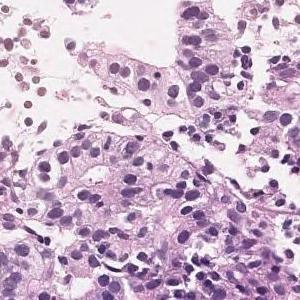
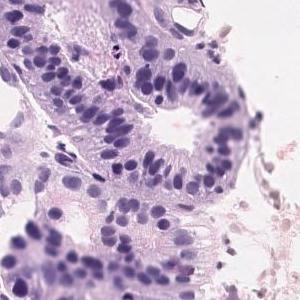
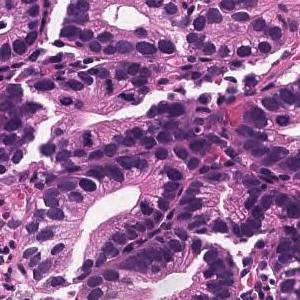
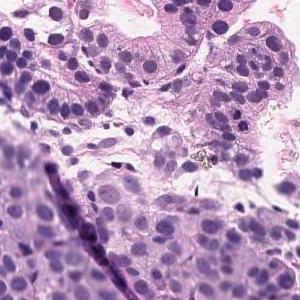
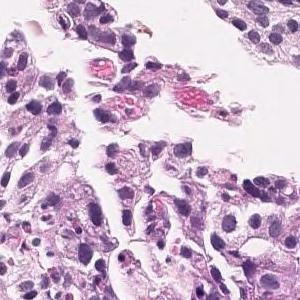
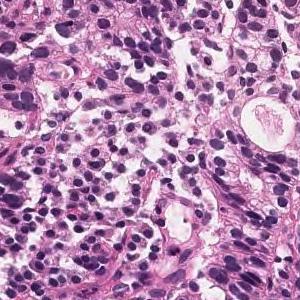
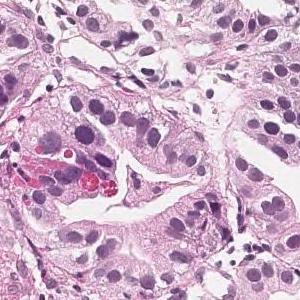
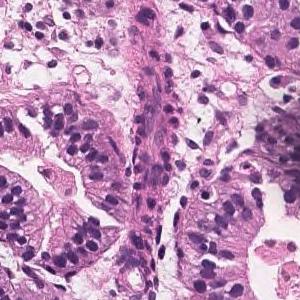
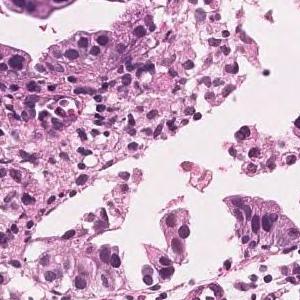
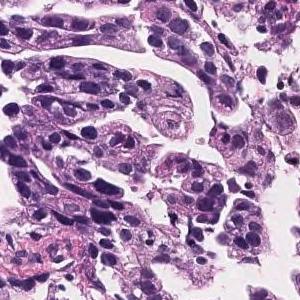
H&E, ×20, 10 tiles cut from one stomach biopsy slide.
Diagnostic report for the slide these tiles come from. The findings and the diagnosis refer to the entire slide; these tiles show only part of it, possibly with non-tumor tissue, and may not show every feature named.
In the superficial epithelium, tumor tissue that invades by forming medium-sized to small, irregular ducts is observed. moderately differentiated tubular adenocarcinoma.
